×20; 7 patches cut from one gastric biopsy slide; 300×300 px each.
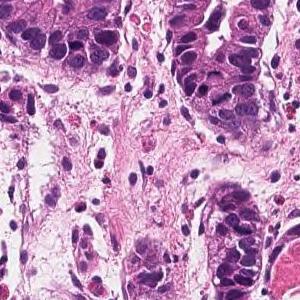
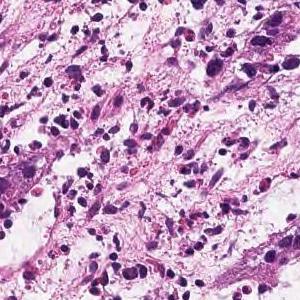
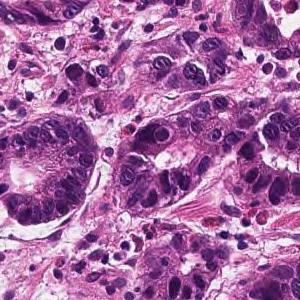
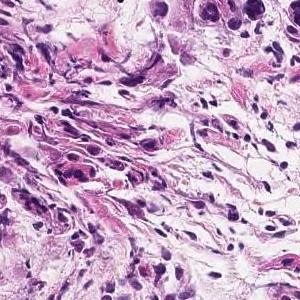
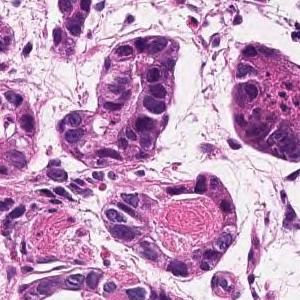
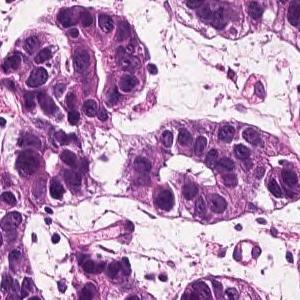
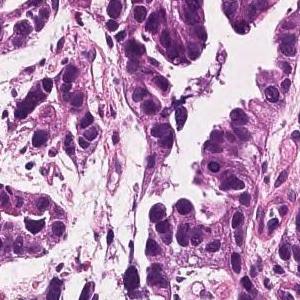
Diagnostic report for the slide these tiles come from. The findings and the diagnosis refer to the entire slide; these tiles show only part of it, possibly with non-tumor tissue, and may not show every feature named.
In the superficial epithelium, tumor tissue that invades by forming medium-sized to small, irregular ducts is observed. Well differentiated tubular adenocarcinoma.
